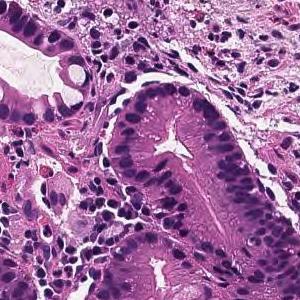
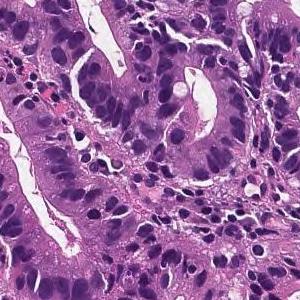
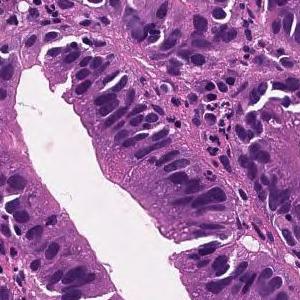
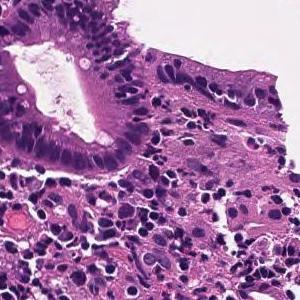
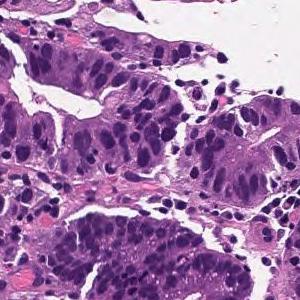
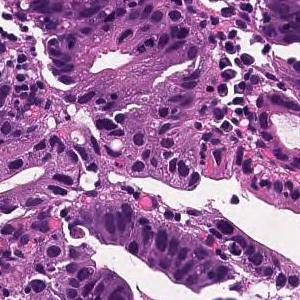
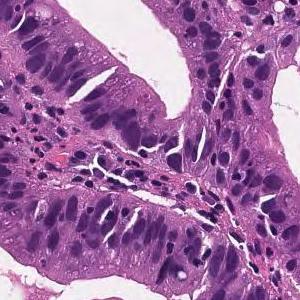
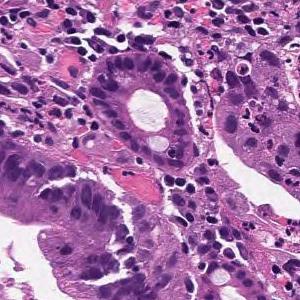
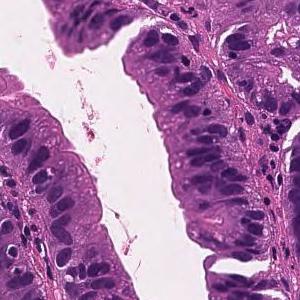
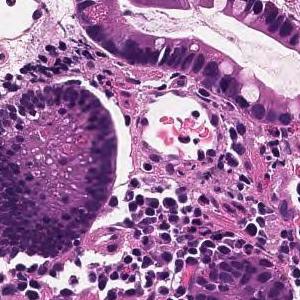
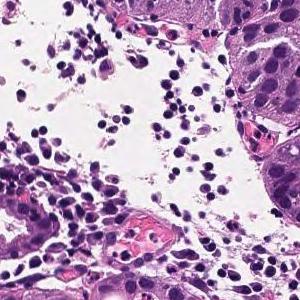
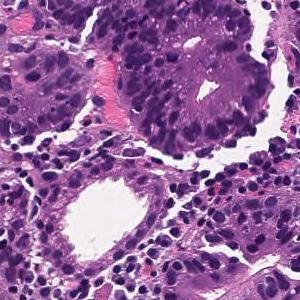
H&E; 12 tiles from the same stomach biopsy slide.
Report on the slide these tiles come from. Both the report and the diagnosis are for the whole slide: these tiles need not show every feature named, and some of the tissue shown may not be tumor.
From the superficial epithelium to the muscularis mucosae, tumor tissue consisting of medium-sized and irregular glandular ducts infiltrating is observed. Well differentiated tubular adenocarcinoma
